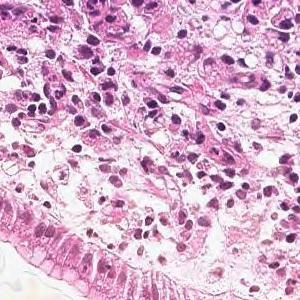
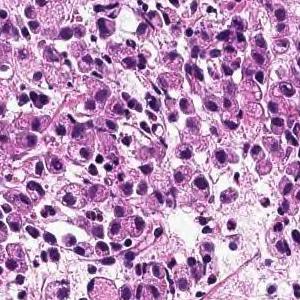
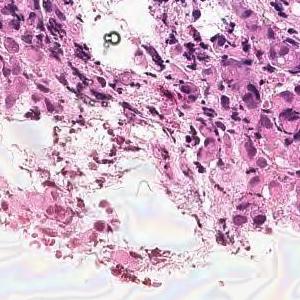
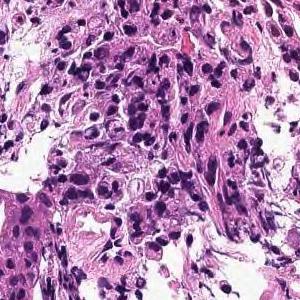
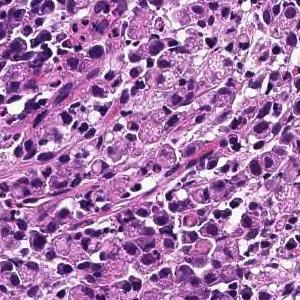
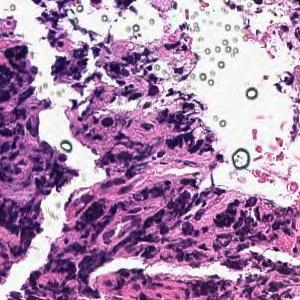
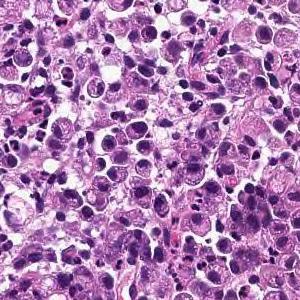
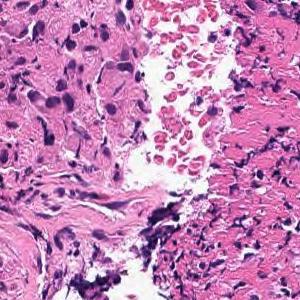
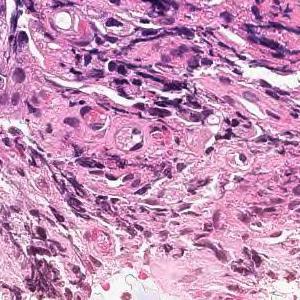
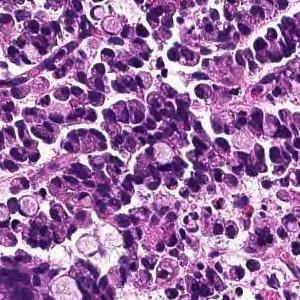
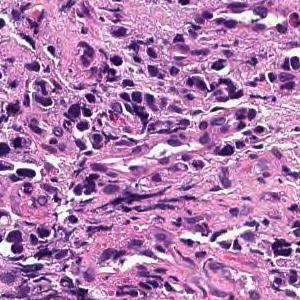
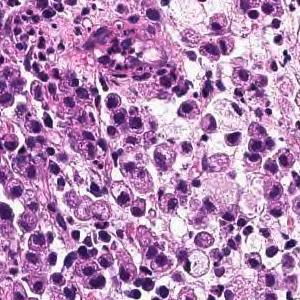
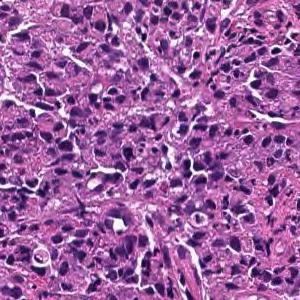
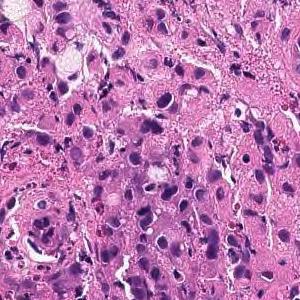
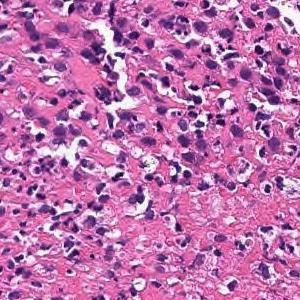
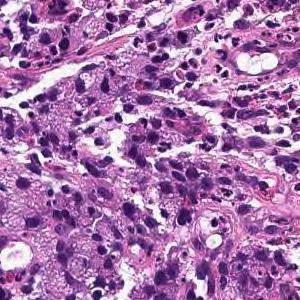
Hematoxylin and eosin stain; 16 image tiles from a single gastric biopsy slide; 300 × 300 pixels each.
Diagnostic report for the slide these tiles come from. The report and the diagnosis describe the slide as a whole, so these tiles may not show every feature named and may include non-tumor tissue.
Tumor tissue consisting of diffusely infiltrated large atypical epithelial cells or signet ring atypical cells is observed in the superficial epithelium. Poorly differentiated adenocarcinoma, solid-type
Histological subtype: Poorly differentiated adenocarcinoma, solid type. This name comes from the Japanese Classification of Gastric Carcinoma; the WHO 2019 classification calls it tubular adenocarcinoma, poorly differentiated.
